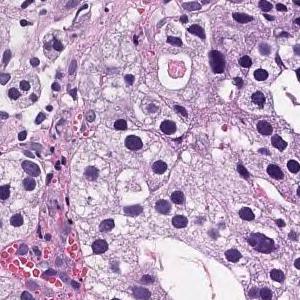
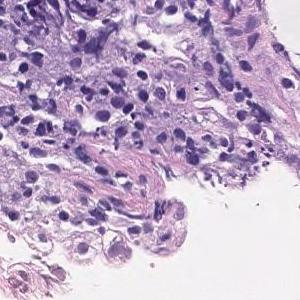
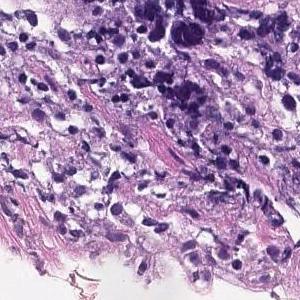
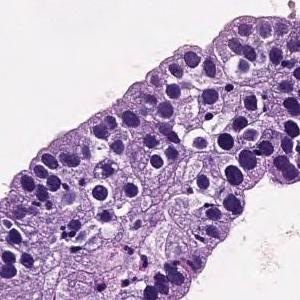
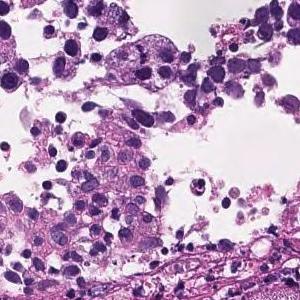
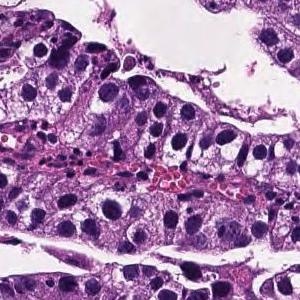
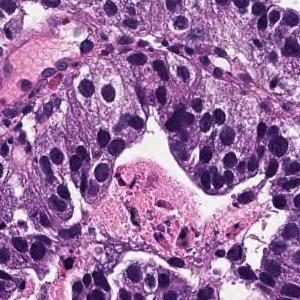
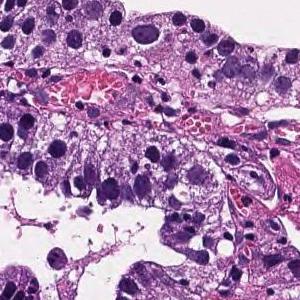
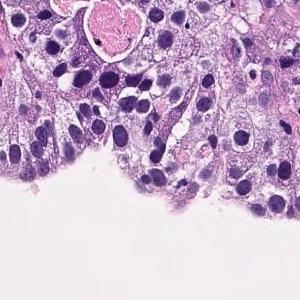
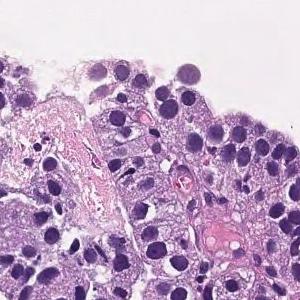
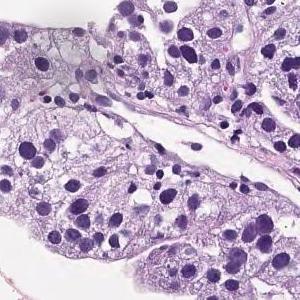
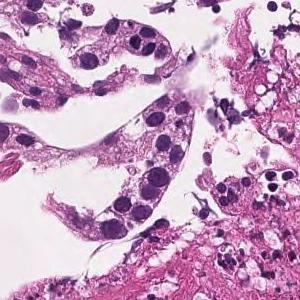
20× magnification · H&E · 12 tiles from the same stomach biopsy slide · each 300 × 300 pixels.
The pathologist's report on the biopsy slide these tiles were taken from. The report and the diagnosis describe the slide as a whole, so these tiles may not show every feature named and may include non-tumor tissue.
On the superficial epithelium, tumor tissue that infiltrates by forming medium-sized papillary or small irregular ducts is observed. Papillary adenocarcinoma
